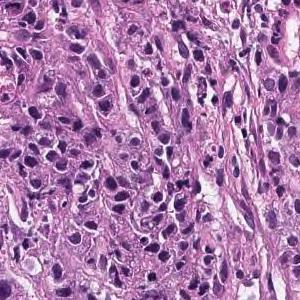
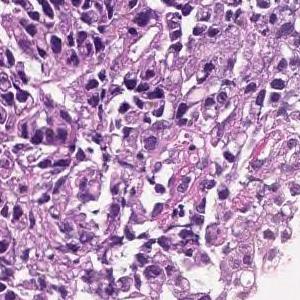
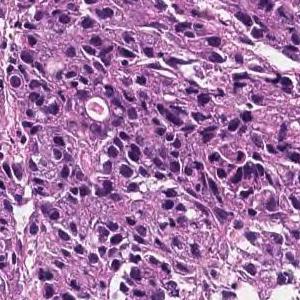
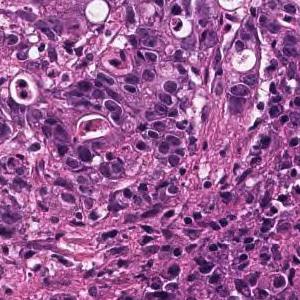
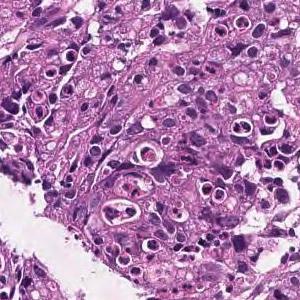
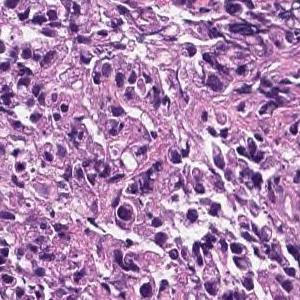
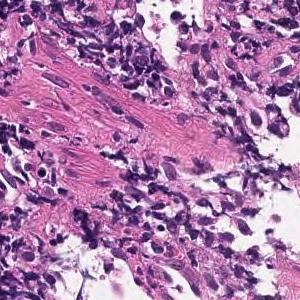
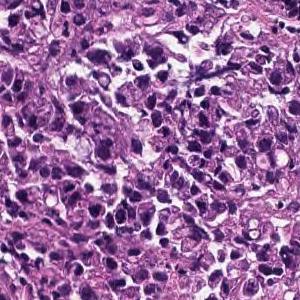
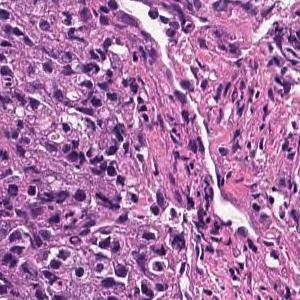
9 image tiles from a single gastric biopsy slide; 300×300 px each; hematoxylin and eosin stain; 20× magnification.
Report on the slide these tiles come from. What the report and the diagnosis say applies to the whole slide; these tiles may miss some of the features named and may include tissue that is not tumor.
Medium to small, irregular glandular ducts are formed in the superficial epithelium, and in some cases, the glandular ducts are fused to show solid alveolar lesions and infiltrating tumor tissue is observed. Moderately to poorly differentiated adenocarcinoma.
